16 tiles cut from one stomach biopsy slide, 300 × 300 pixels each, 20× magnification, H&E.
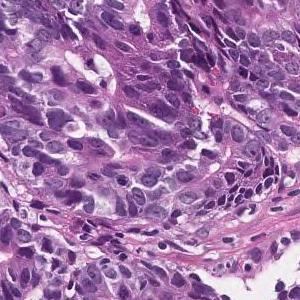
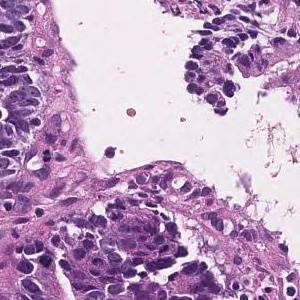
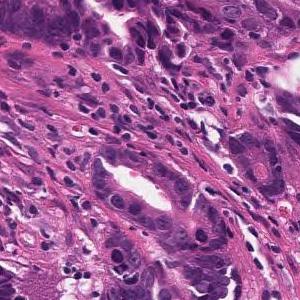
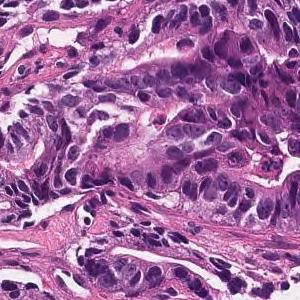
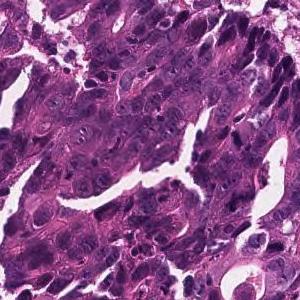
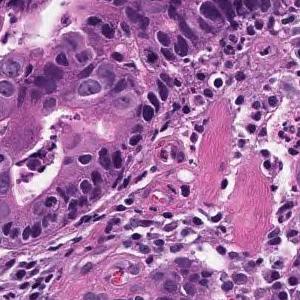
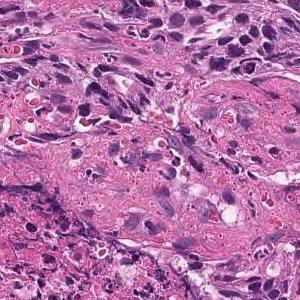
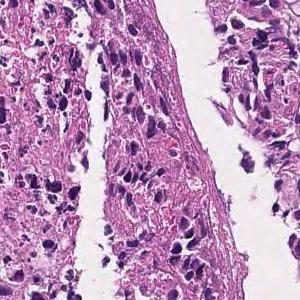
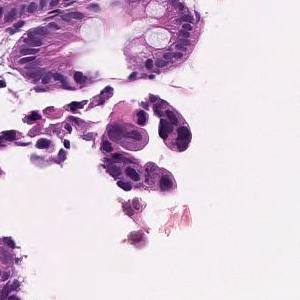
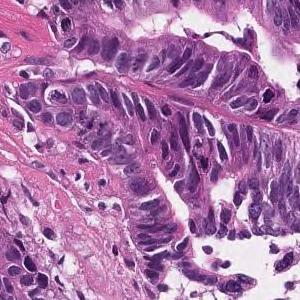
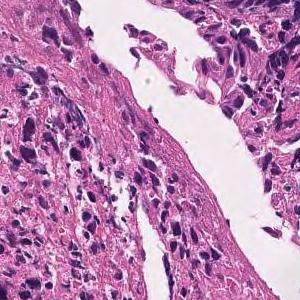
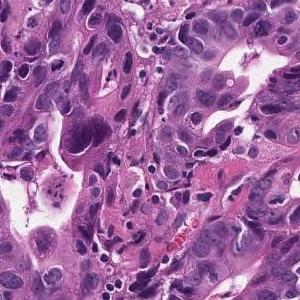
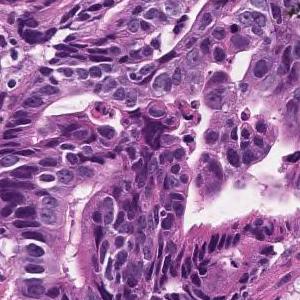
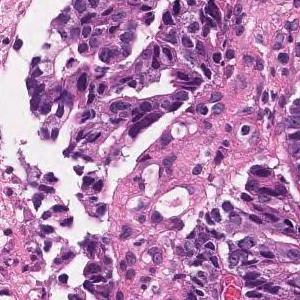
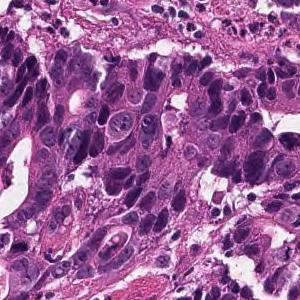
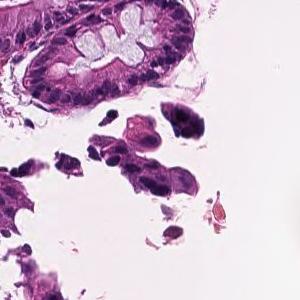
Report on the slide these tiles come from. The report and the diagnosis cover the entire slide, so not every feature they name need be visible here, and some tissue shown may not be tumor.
In the superficial epithelium, tumor tissue that invades by forming medium-sized to small, irregular ducts is observed. moderately differentiated tubular adenocarcinoma.
